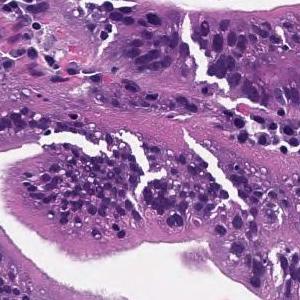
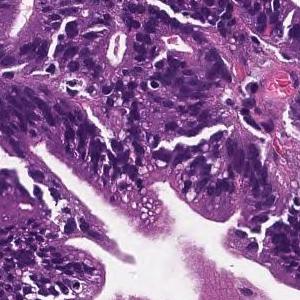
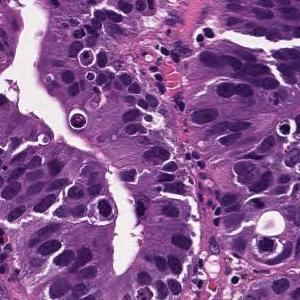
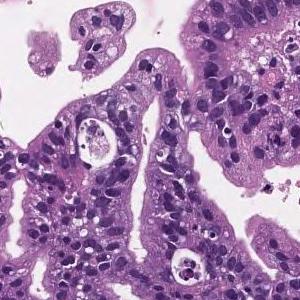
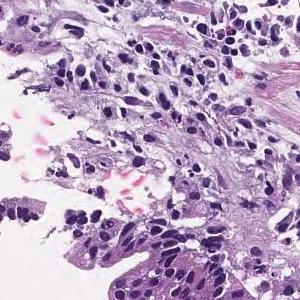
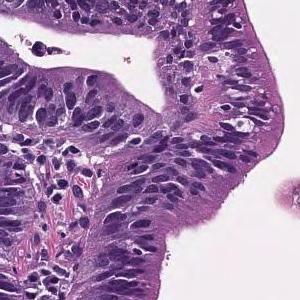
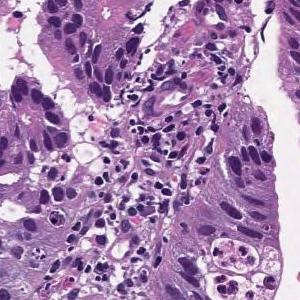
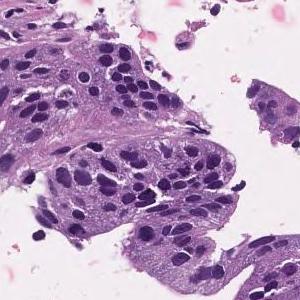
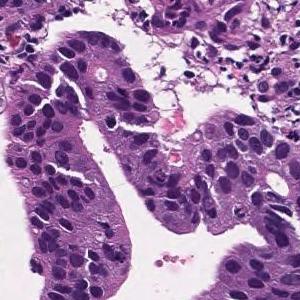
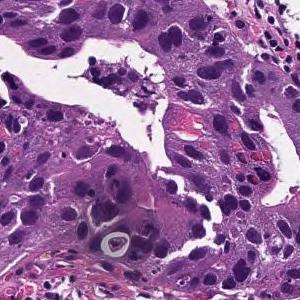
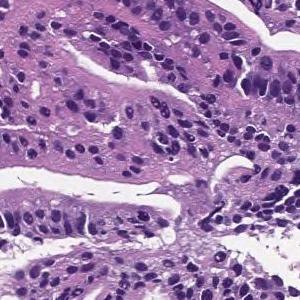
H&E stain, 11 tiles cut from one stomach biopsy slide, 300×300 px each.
Pathology report for the slide these tiles were cut from. The findings and the diagnosis refer to the entire slide; these tiles show only part of it, possibly with non-tumor tissue, and may not show every feature named.
Tumor cells are large, highly columnar, large club-shaped nuclei, and are associated with chromatin aggregation. Papillary adenocarcinoma.
